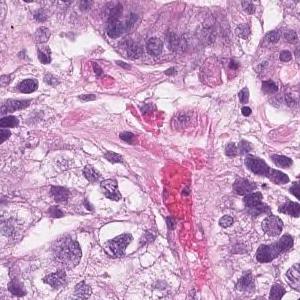
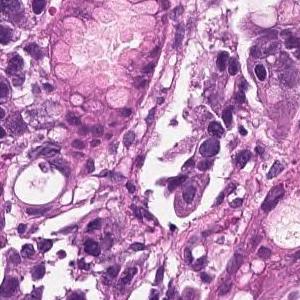
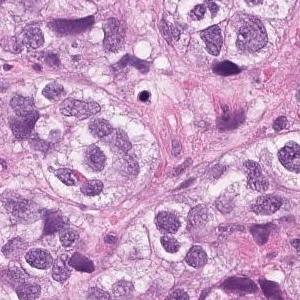
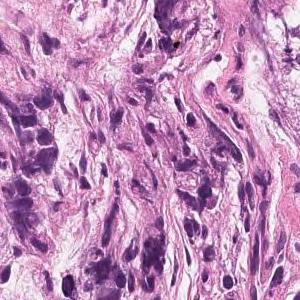
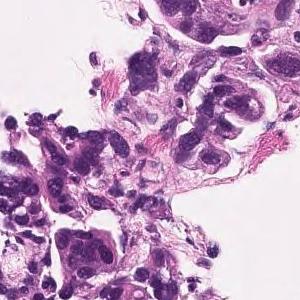
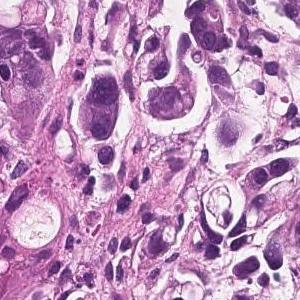
Hematoxylin and eosin stain; scanned at ×20; 6 tiles cut from one stomach biopsy slide.
Report on the slide these tiles come from. The findings and the diagnosis refer to the entire slide; these tiles show only part of it, possibly with non-tumor tissue, and may not show every feature named.
Tumor tissue that infiltrates the epithelium in an alveolar manner. Poorly differentiated adenocarcinoma, solid-type
Histologic type: Poorly differentiated adenocarcinoma, solid type. This name comes from the Japanese Classification of Gastric Carcinoma; the WHO 2019 classification calls it tubular adenocarcinoma, poorly differentiated.
